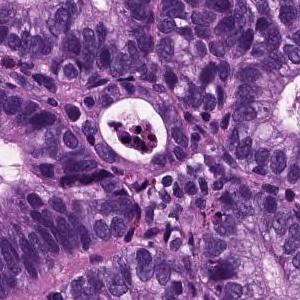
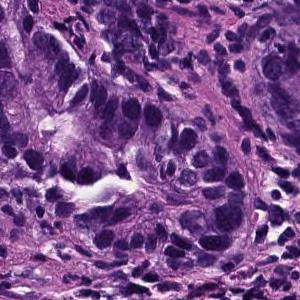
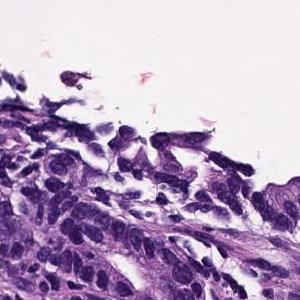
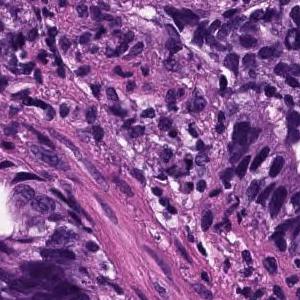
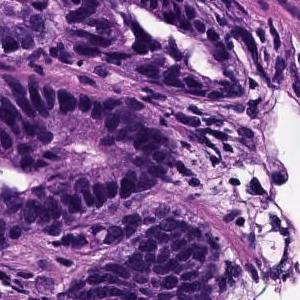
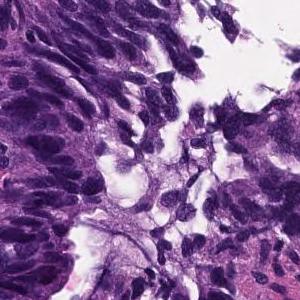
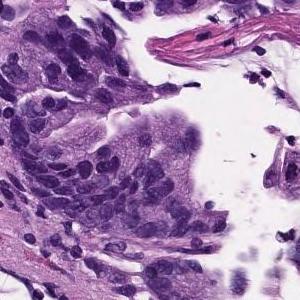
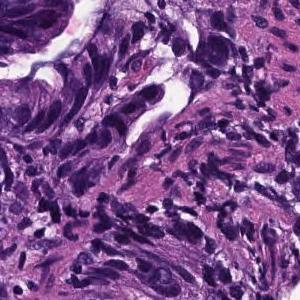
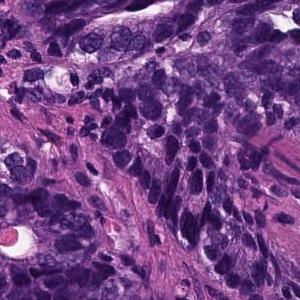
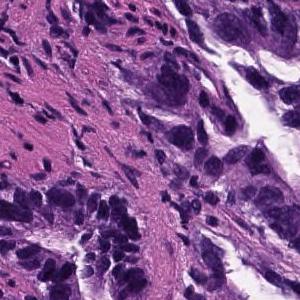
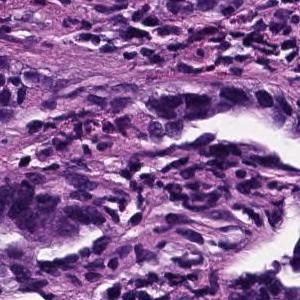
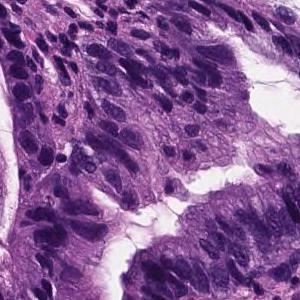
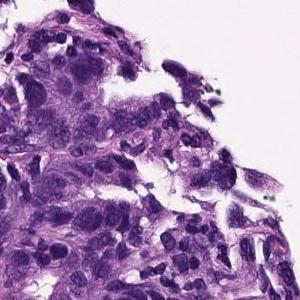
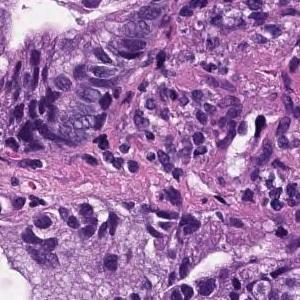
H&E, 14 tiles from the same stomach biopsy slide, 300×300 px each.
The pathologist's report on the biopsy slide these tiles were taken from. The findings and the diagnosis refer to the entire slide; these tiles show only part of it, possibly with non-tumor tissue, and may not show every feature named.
In the superficial epithelium, tumor tissue that invades by forming medium-sized to small, irregular ducts is observed. Moderately differentiated adenocarcinoma.
Subtype: Moderately differentiated tubular adenocarcinoma.
